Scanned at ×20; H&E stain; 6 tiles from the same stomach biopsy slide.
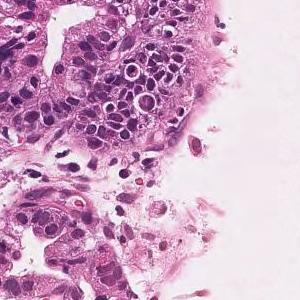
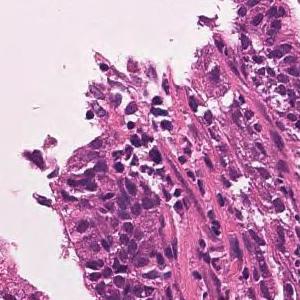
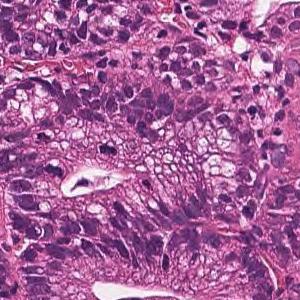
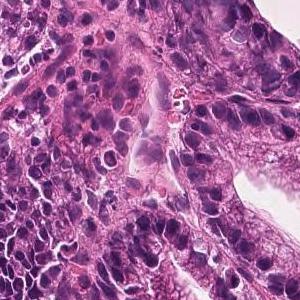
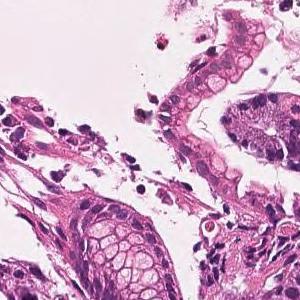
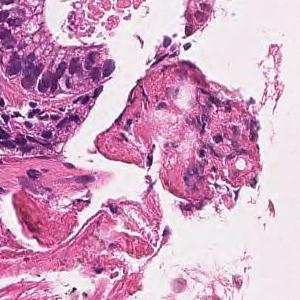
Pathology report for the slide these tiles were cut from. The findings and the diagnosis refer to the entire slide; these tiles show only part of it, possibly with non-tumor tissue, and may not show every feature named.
On the superficial epithelium, tumor tissue consisting of large, irregular glandular ducts partially fused and infiltrated is observed. Well to moderately differentiated tubular adenocarcinoma (well differentiated tubular adenocarcinoma, moderately differentiated tubular adenocarcinoma)
Histological subtype: Well to moderately differentiated tubular adenocarcinoma.
